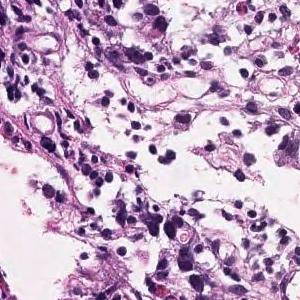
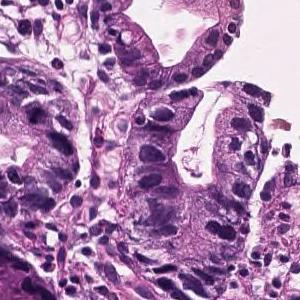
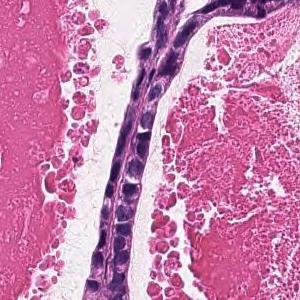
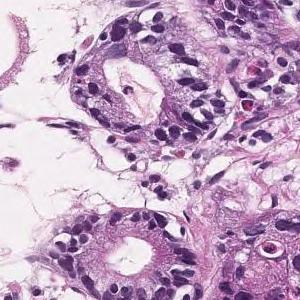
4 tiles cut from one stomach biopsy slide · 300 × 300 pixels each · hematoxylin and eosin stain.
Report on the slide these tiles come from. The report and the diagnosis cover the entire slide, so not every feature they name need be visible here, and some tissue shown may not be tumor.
Tumor tissue consisting of medium-sized and irregular ducts is observed infiltrating in the superficial epithelium. Tumor cells are highly columnar, with nuclei aligned basolaterally and polarized. Well differentiated tubular adenocarcinoma.
